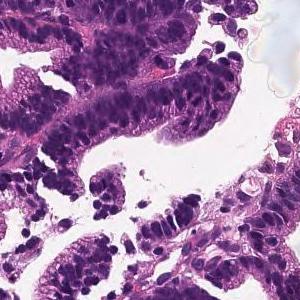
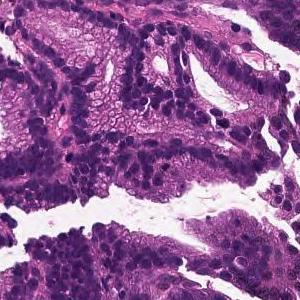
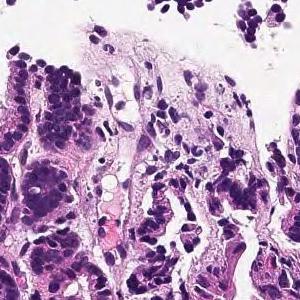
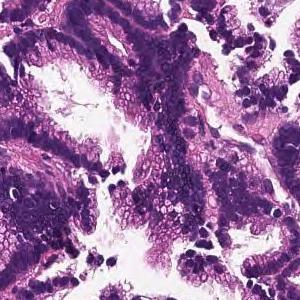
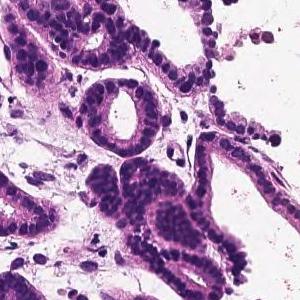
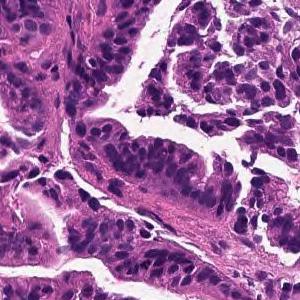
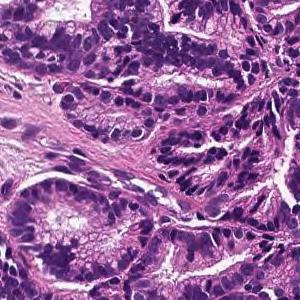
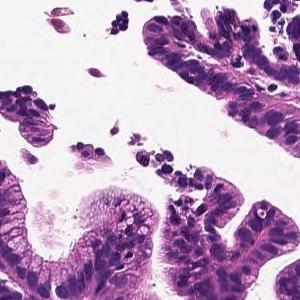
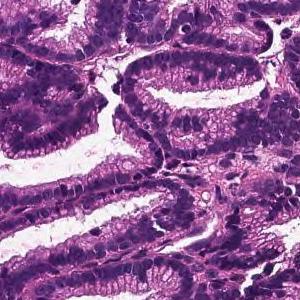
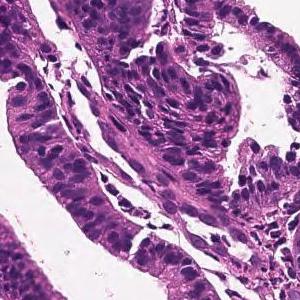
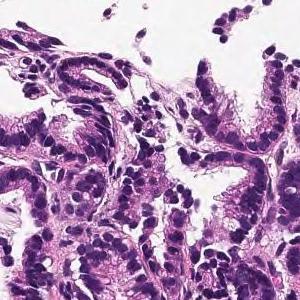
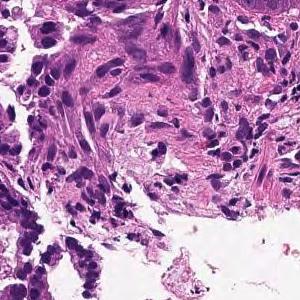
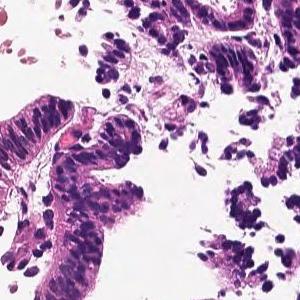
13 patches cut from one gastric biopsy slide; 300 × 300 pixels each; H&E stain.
Pathology report for the biopsy slide these tiles were cut from. Both the report and the diagnosis are for the whole slide: these tiles need not show every feature named, and some of the tissue shown may not be tumor.
On the superficial epithelium, tumor tissue consisting of large irregular glandular ducts partially fused and infiltrated is observed. Well to moderately differentiated tubular adenocarcinoma (well differentiated tubular adenocarcinoma, moderately differentiated tubular adenocarcinoma)
Classified as well to moderately differentiated tubular adenocarcinoma.
